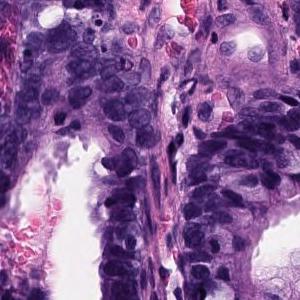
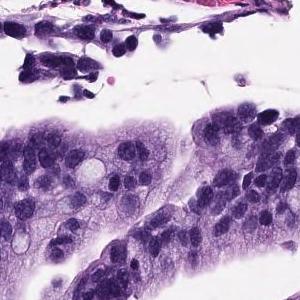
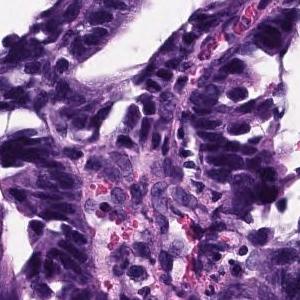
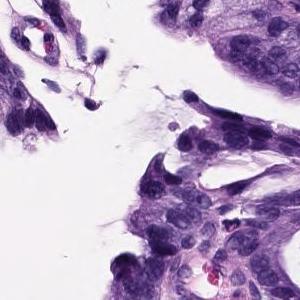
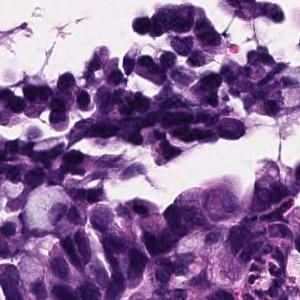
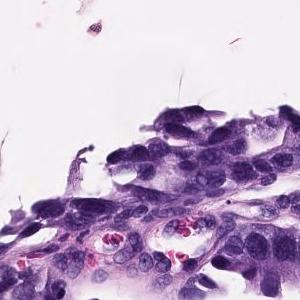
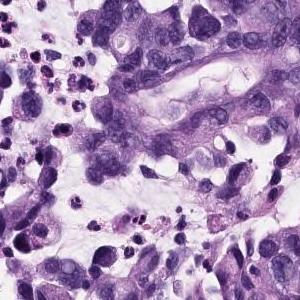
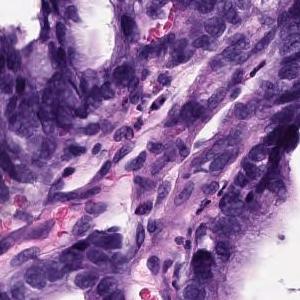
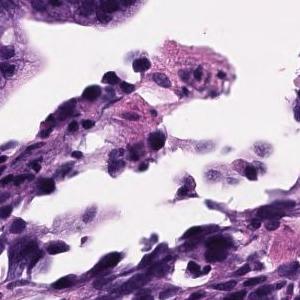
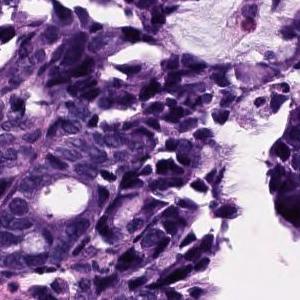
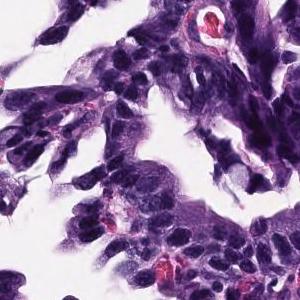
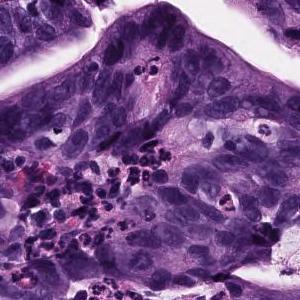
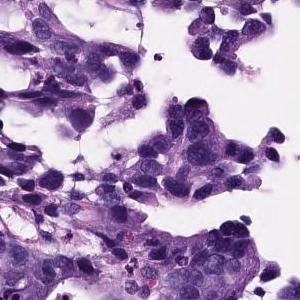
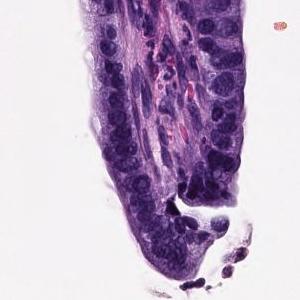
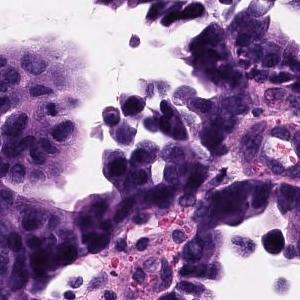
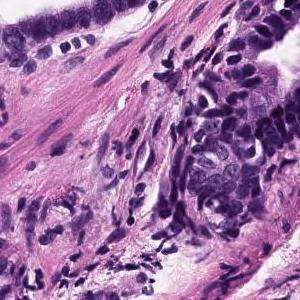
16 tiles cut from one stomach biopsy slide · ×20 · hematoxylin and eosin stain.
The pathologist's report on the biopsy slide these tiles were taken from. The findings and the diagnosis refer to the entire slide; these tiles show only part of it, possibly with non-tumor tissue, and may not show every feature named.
Atypical epithelium proliferating showing villus construction and irregular gland duct construction is observed. Moderately differentiated tubular adenocarcinoma.
